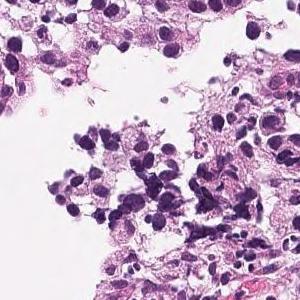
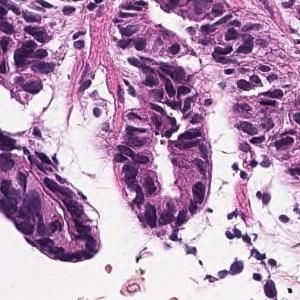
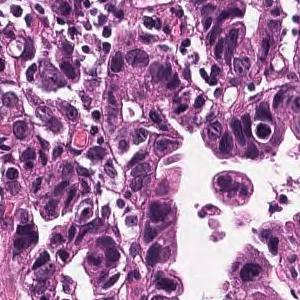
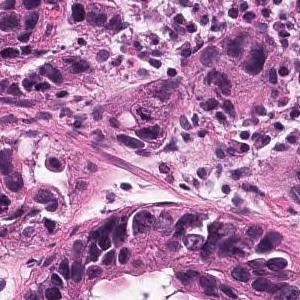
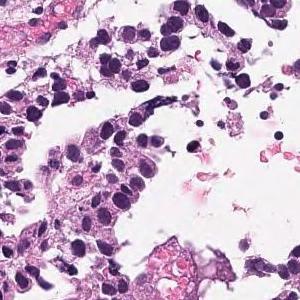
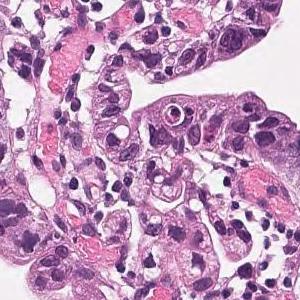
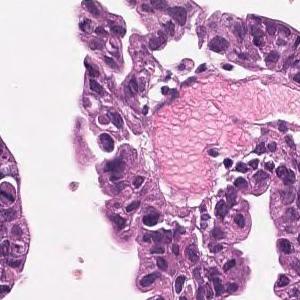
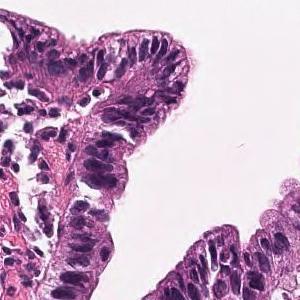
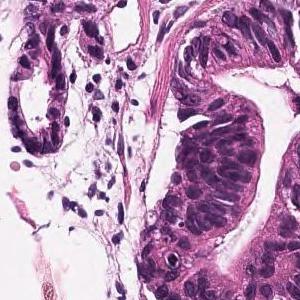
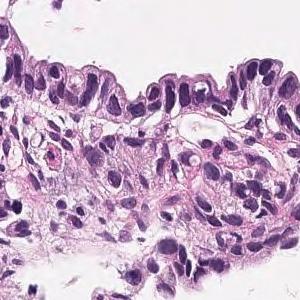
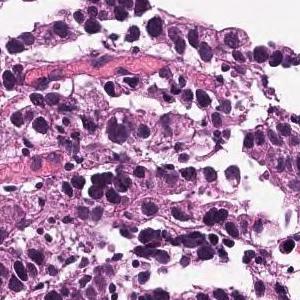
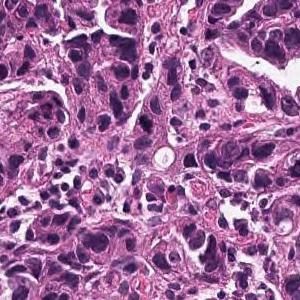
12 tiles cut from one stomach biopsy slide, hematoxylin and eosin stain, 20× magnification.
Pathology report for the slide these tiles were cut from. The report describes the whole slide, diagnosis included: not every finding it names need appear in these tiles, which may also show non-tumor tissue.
Medium to small, irregular glandular ducts are formed in the superficial epithelium, and in some cases, the glandular ducts are fused to show solid alveolar lesions and infiltrating tumor tissue is observed. Moderately to poorly differentiated adenocarcinoma.
